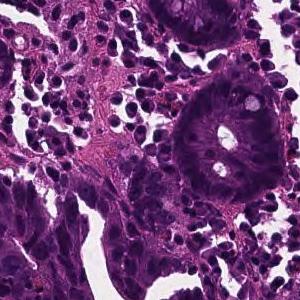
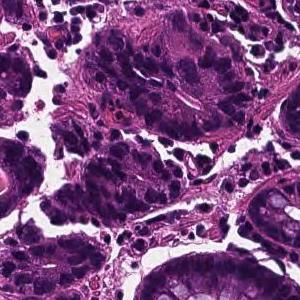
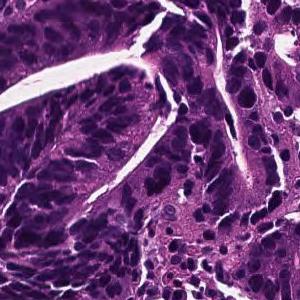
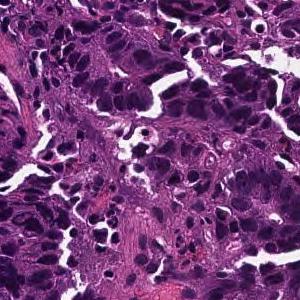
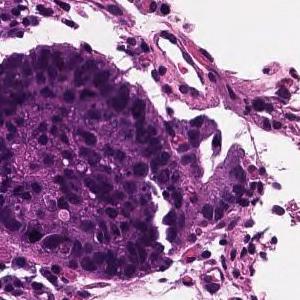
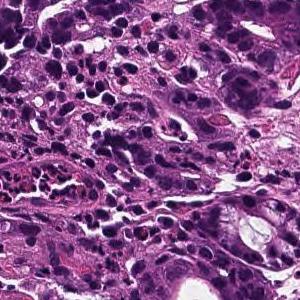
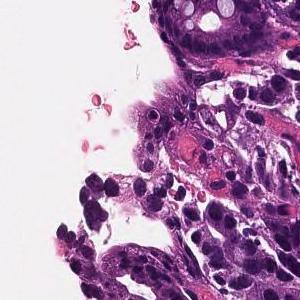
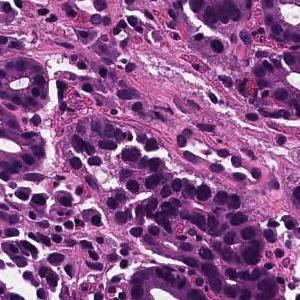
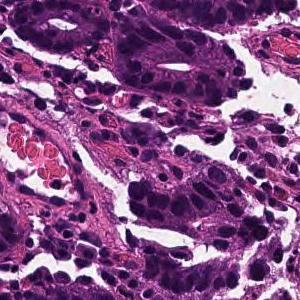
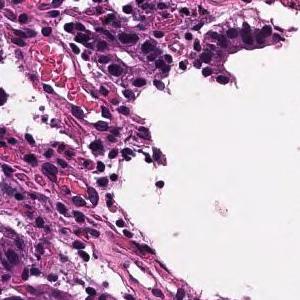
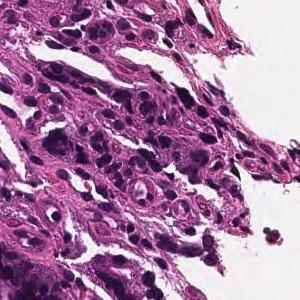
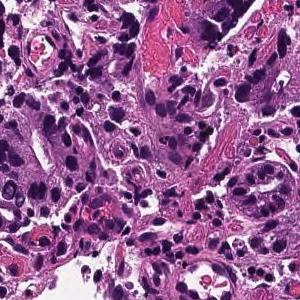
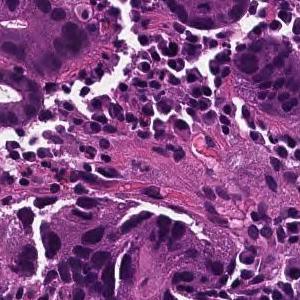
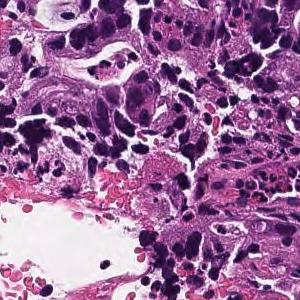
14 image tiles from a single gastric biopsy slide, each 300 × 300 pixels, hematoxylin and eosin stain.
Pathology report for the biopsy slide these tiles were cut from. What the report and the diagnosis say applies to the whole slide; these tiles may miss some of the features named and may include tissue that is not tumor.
In the superficial epithelium, tumor tissue that invades by forming medium-sized to small, irregular ducts is observed. moderately differentiated tubular adenocarcinoma.
